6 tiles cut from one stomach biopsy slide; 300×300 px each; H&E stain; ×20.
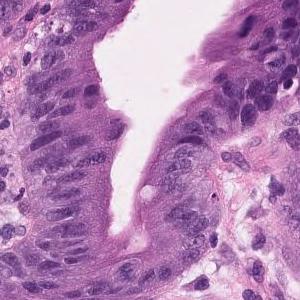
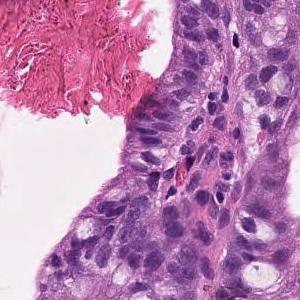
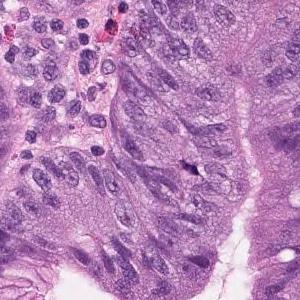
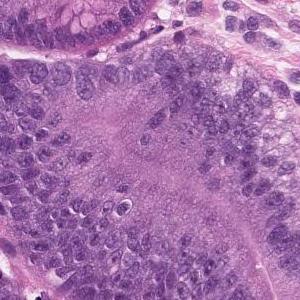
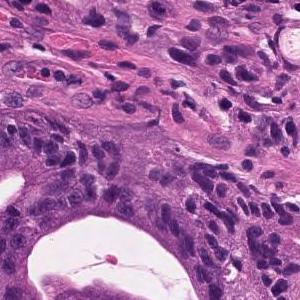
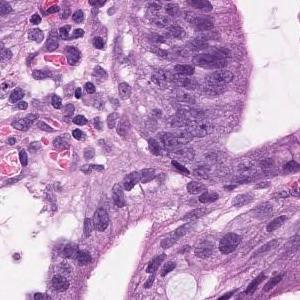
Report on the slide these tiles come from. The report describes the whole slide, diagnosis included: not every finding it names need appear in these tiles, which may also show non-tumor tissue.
On the superficial epithelium, tumor tissue consisting of large, irregular glandular ducts partially fused and infiltrated is observed. Well to moderately differentiated tubular adenocarcinoma (well differentiated tubular adenocarcinoma, moderately differentiated tubular adenocarcinoma)
Subtype: Well to moderately differentiated tubular adenocarcinoma.
